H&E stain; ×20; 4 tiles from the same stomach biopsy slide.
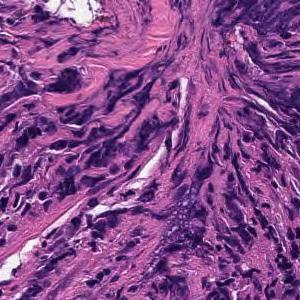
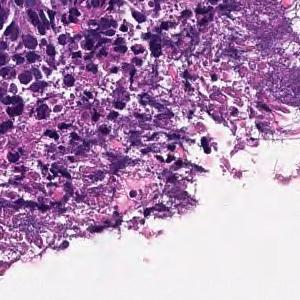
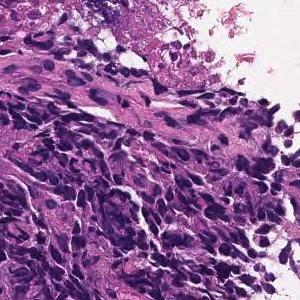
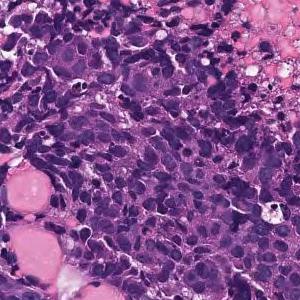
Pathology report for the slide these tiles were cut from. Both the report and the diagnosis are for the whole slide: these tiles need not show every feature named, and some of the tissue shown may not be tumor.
Large sheet-like or diffusely infiltrating tumor tissue is found in the superficial epithelium. Poorly differentiated adenocarcinoma, solid-type
Classified as poorly differentiated adenocarcinoma, solid type, a category of the Japanese Classification of Gastric Carcinoma; in the WHO 2019 classification it is tubular adenocarcinoma, poorly differentiated.
